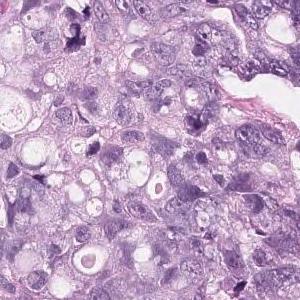
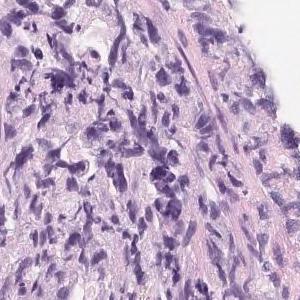
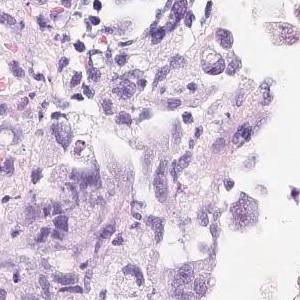
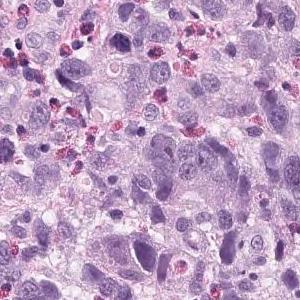
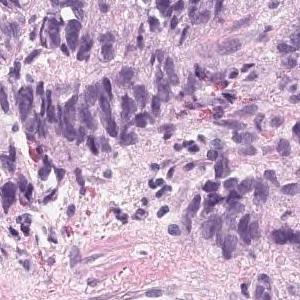
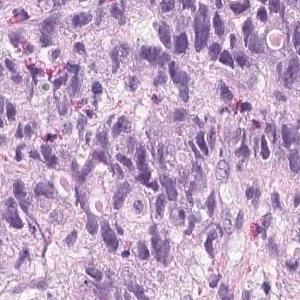
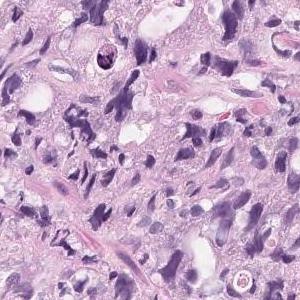
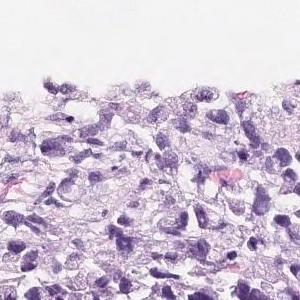
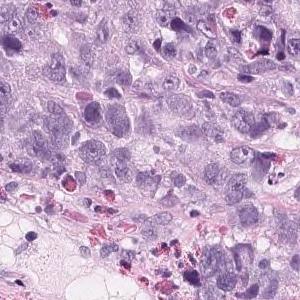
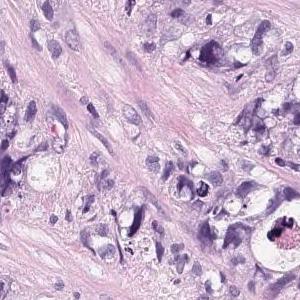
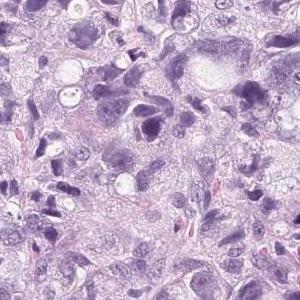
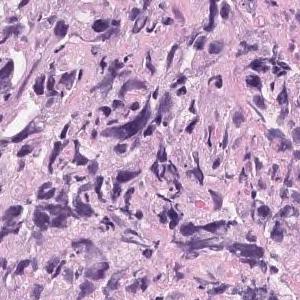
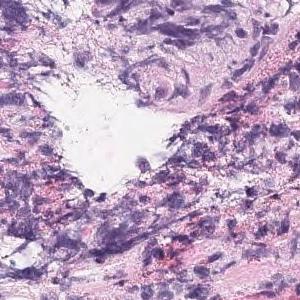
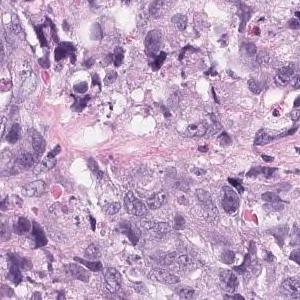
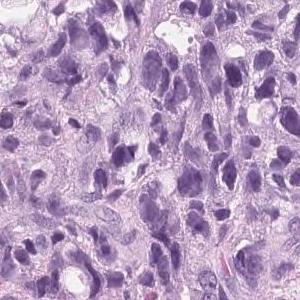
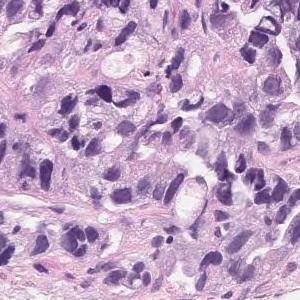
×20; 16 tiles from the same stomach biopsy slide.
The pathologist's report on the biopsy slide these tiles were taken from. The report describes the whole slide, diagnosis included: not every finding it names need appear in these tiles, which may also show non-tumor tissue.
Tumor tissue that infiltrates and proliferates by forming small glandular cavities in the superficial layer to the submucosa or forming a mass is observed. moderately differentiated tubular adenocarcinoma
